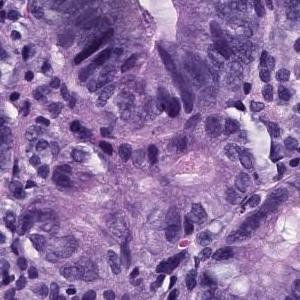
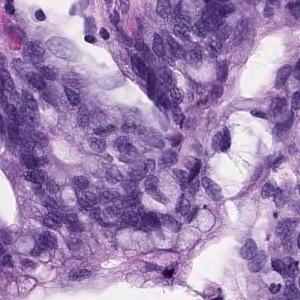
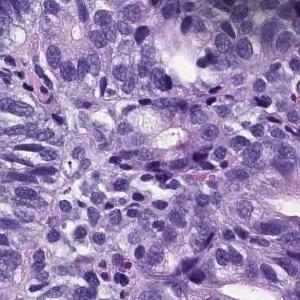
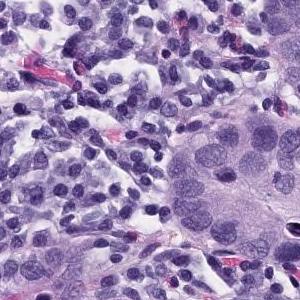
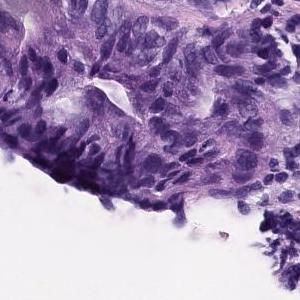
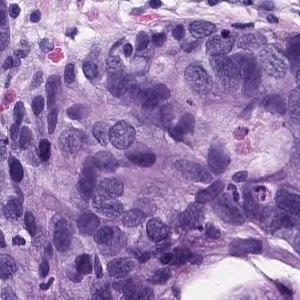
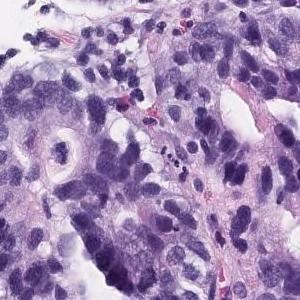
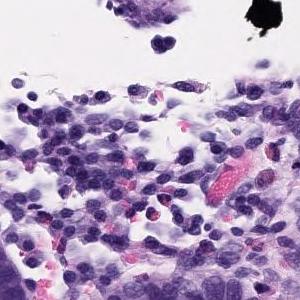
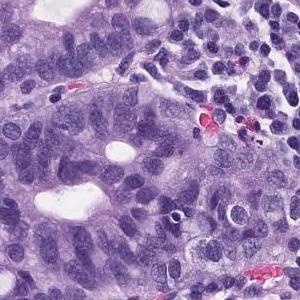
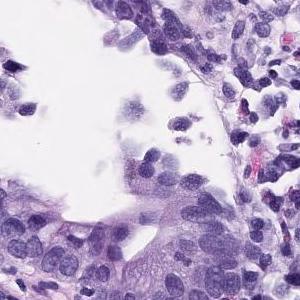
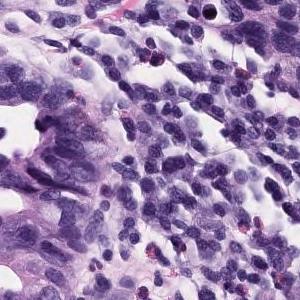
11 image tiles from a single gastric biopsy slide; each 300 × 300 pixels; scanned at ×20; hematoxylin and eosin stain.
Pathology report for the biopsy slide these tiles were cut from. The report and the diagnosis describe the slide as a whole, so these tiles may not show every feature named and may include non-tumor tissue.
In the superficial epithelium, tumor tissue that invades by forming medium-sized to small, irregular ducts is observed. Moderately differentiated adenocarcinoma.
Tumor subtype: moderately differentiated tubular adenocarcinoma.
